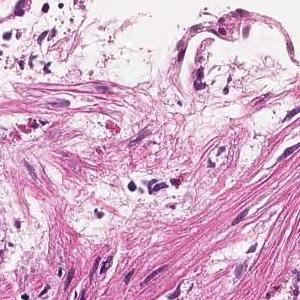
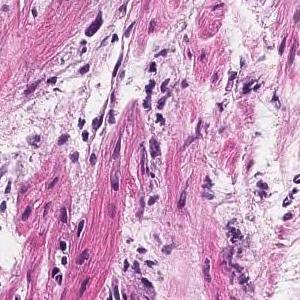
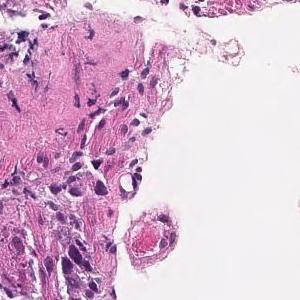
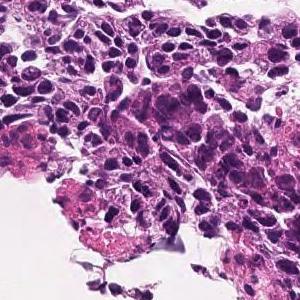
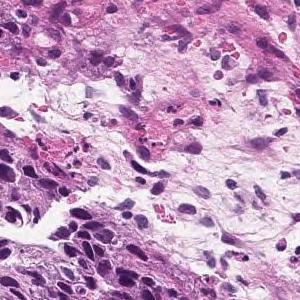
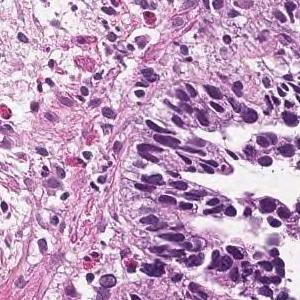
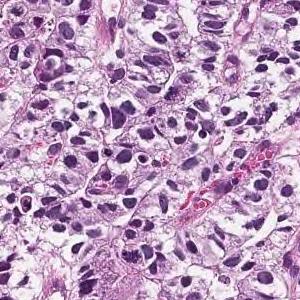
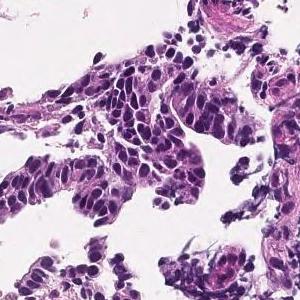
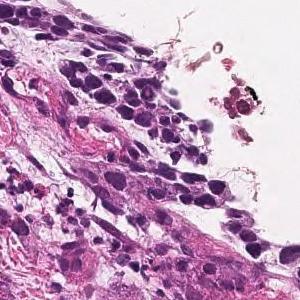
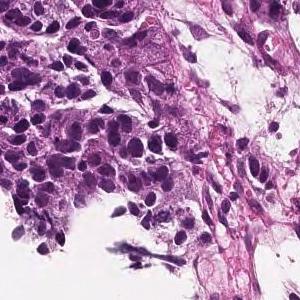
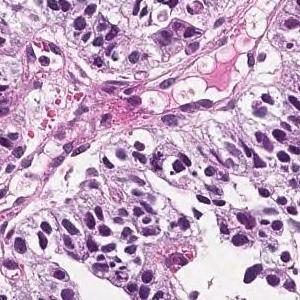
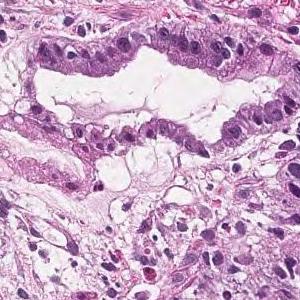
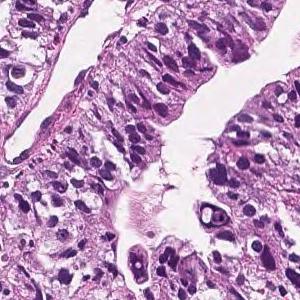
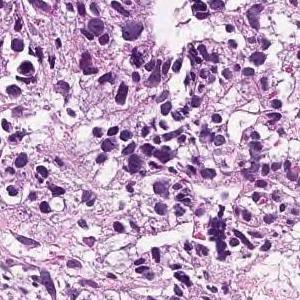
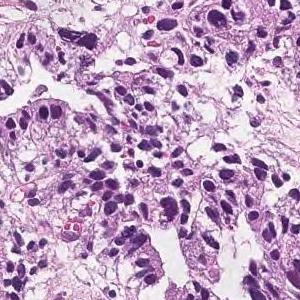
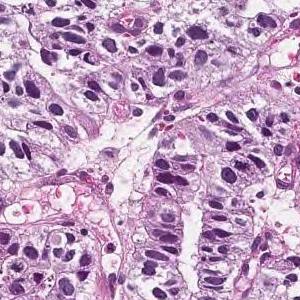
20× magnification · 16 image tiles from a single gastric biopsy slide · each 300 × 300 pixels.
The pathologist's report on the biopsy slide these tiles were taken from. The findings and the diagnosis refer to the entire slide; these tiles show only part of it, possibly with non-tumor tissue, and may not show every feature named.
In the superficial epithelium, tumor tissue that invades by forming medium-sized to small, irregular ducts is observed. moderately differentiated tubular adenocarcinoma.
